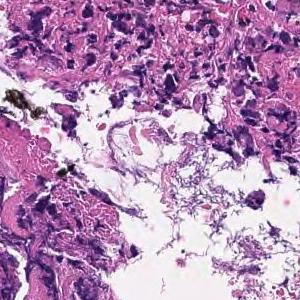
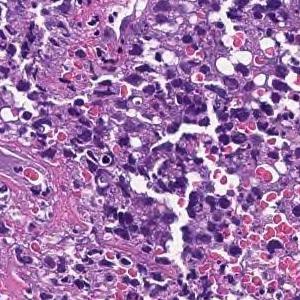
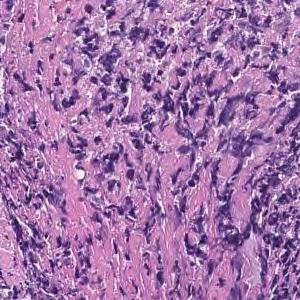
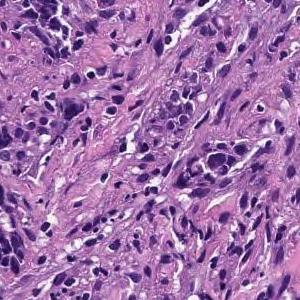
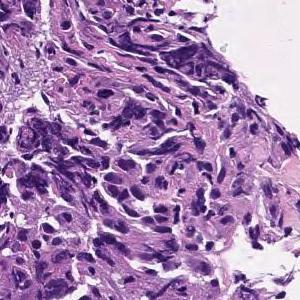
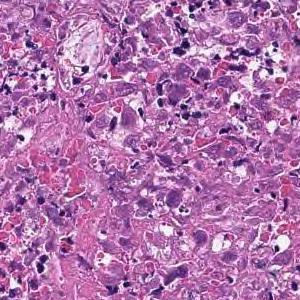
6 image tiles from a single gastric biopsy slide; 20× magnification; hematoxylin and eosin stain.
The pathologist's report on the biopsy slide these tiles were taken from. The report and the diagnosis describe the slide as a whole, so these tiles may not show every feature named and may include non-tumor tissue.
Most are composed of coagulative necrotic tissue, but some show a large sheet-like shape, and some show tumor tissue infiltrating with a small cord-like structure. Poorly differentiated adenocarcinoma, solid-type
Histological subtype: Poorly differentiated adenocarcinoma, solid type, a category of the Japanese Classification of Gastric Carcinoma; in the WHO 2019 classification it is tubular adenocarcinoma, poorly differentiated.
